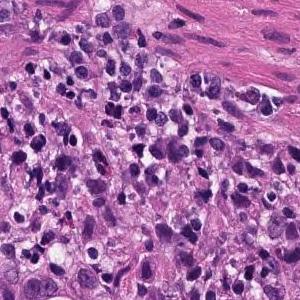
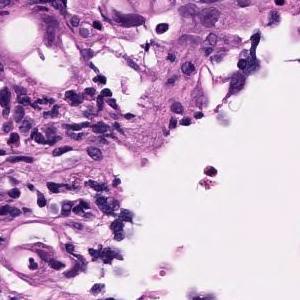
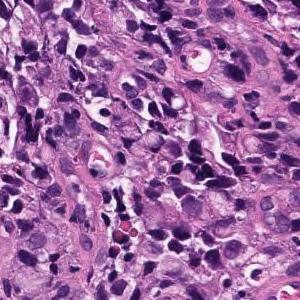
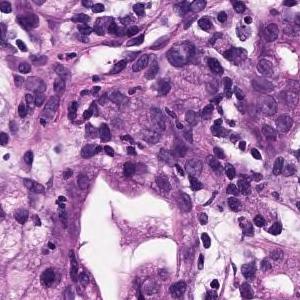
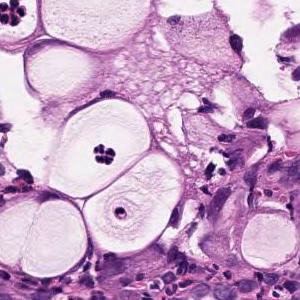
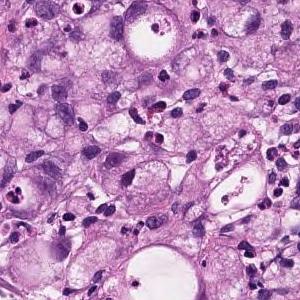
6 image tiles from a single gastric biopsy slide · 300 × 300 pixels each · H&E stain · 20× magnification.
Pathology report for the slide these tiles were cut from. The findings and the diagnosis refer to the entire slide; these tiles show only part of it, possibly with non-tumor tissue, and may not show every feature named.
Atypical epithelium forms irregularly fused gland ducts and proliferates. Poorly differentiated adenocarcinoma.
Classified as poorly differentiated adenocarcinoma, non-solid type.
"Non-solid type" is a category of the Japanese Classification of Gastric Carcinoma.
